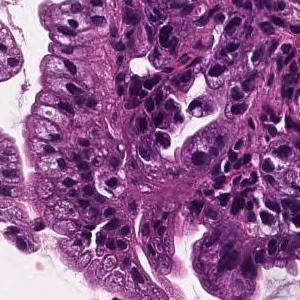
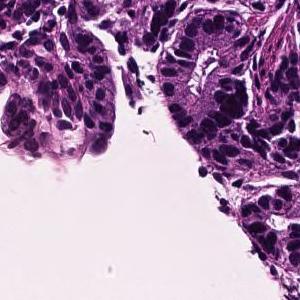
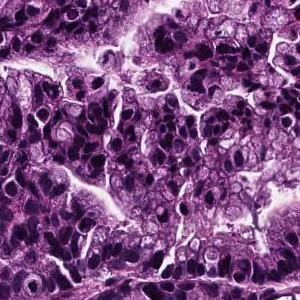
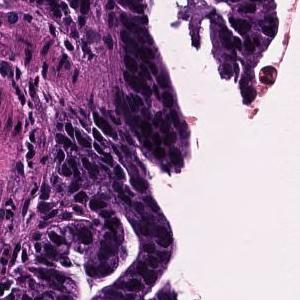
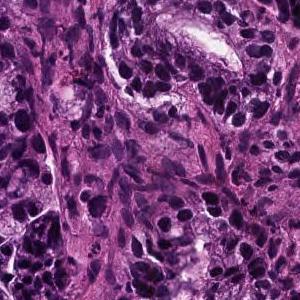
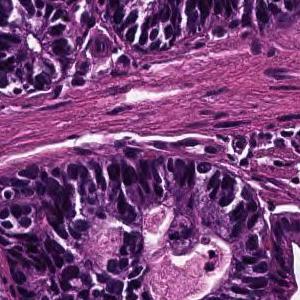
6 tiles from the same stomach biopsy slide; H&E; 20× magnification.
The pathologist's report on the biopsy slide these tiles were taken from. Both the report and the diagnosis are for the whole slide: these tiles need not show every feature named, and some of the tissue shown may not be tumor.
In the superficial epithelium, tumor tissue that invades by forming medium-sized to small, irregular ducts is observed. Well differentiated tubular adenocarcinoma.
